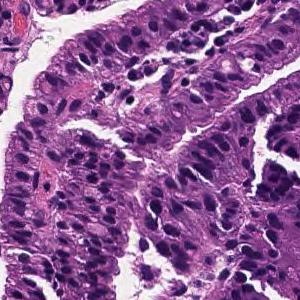
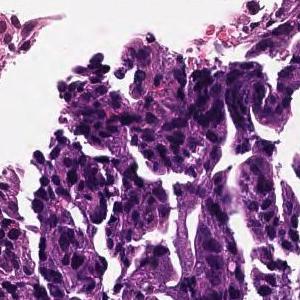
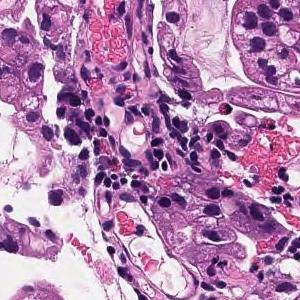
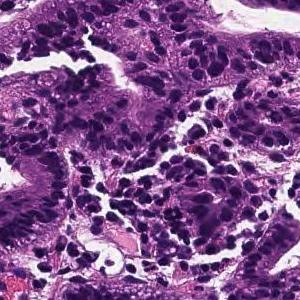
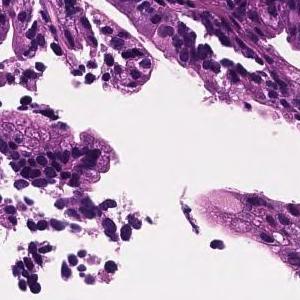
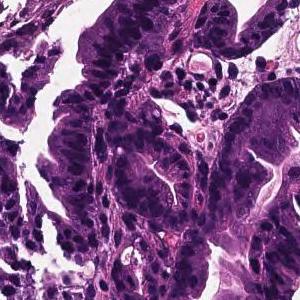
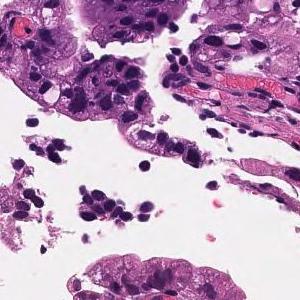
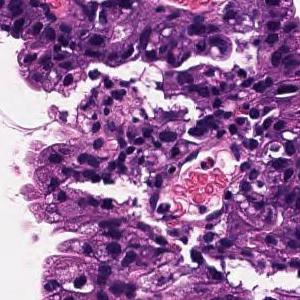
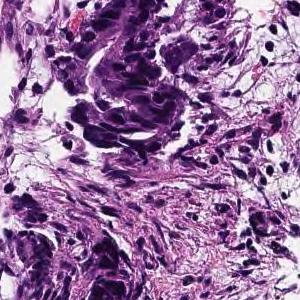
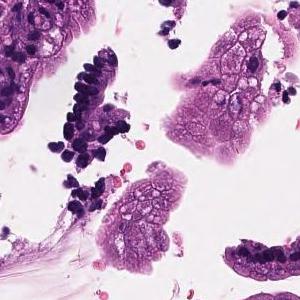
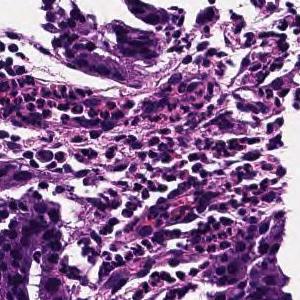
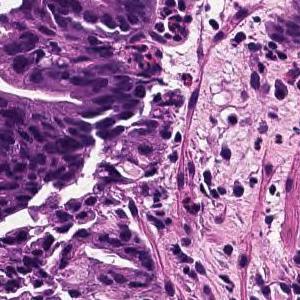
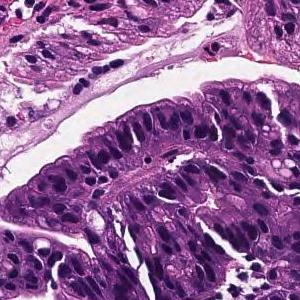
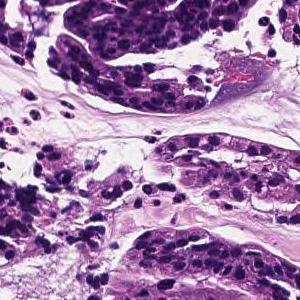
H&E stain · scanned at ×20 · 14 tiles cut from one stomach biopsy slide · 300×300 px each.
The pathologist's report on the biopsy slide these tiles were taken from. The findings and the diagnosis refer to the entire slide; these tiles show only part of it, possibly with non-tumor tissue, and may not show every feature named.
On the superficial epithelium, tumor tissue that infiltrates by forming medium-sized papillary or small irregular ducts is observed. Papillary adenocarcinoma
